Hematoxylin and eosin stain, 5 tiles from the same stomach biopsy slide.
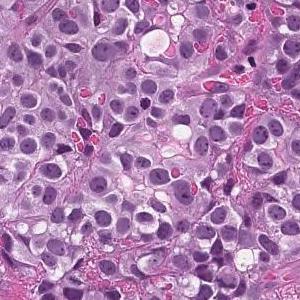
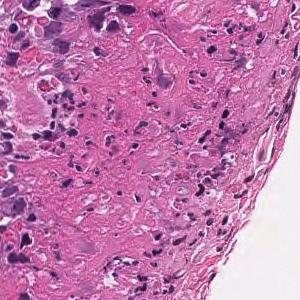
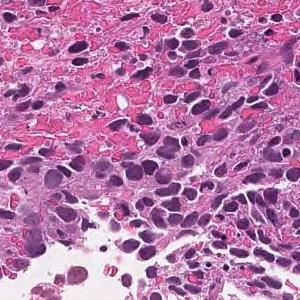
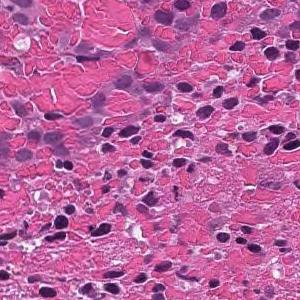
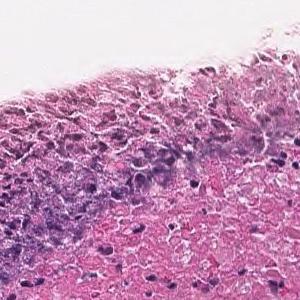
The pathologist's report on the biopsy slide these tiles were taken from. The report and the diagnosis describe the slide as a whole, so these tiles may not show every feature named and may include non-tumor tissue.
The superficial epithelium shows a large sheet-like shape, and some tumor tissue infiltrates with small irregular ducts. Poorly differentiated adenocarcinoma, solid-type
Classified as poorly differentiated adenocarcinoma, solid type. This name comes from the Japanese Classification of Gastric Carcinoma; the WHO 2019 classification calls it tubular adenocarcinoma, poorly differentiated.
